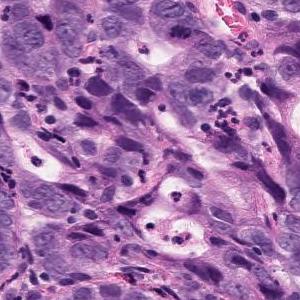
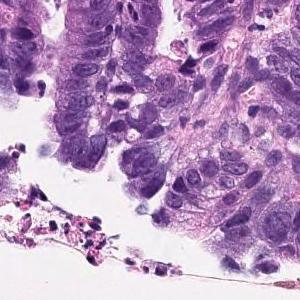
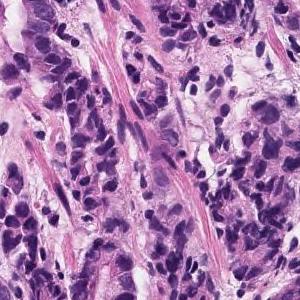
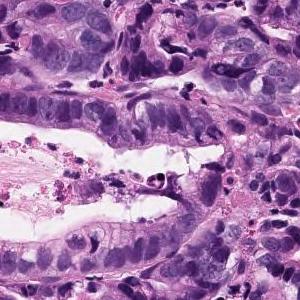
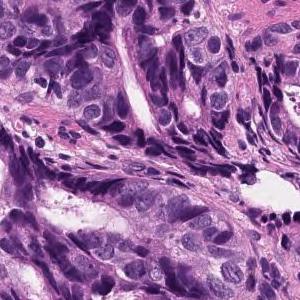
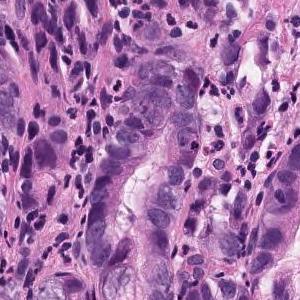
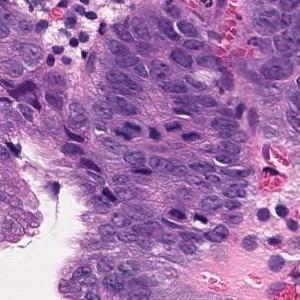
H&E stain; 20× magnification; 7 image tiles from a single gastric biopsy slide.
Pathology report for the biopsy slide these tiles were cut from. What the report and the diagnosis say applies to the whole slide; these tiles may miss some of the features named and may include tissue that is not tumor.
The swollen atypical epithelium of the nucleus forms an irregular ductal structure and proliferates. moderately differentiated tubular adenocarcinoma
